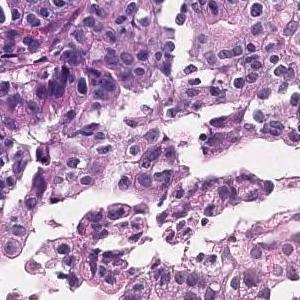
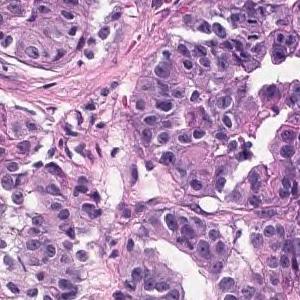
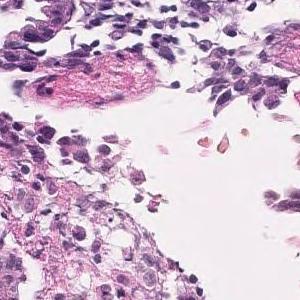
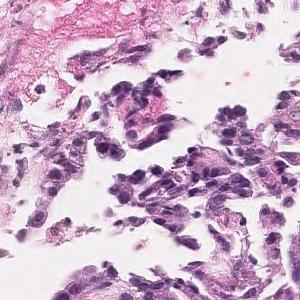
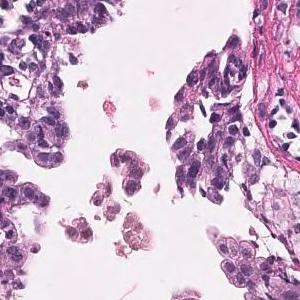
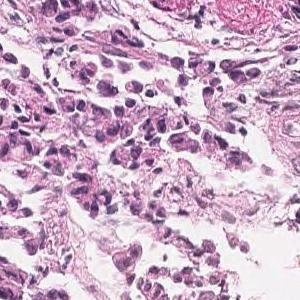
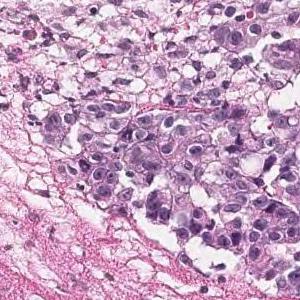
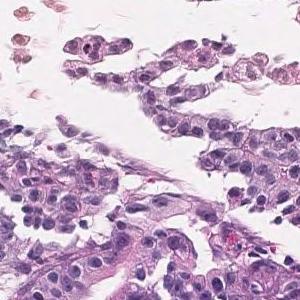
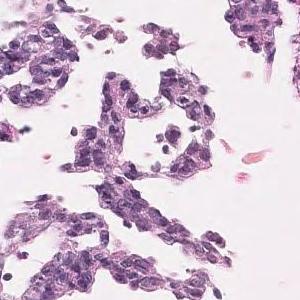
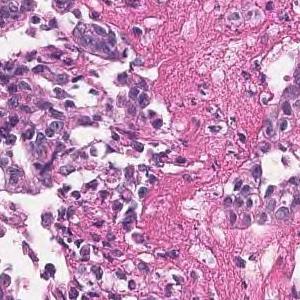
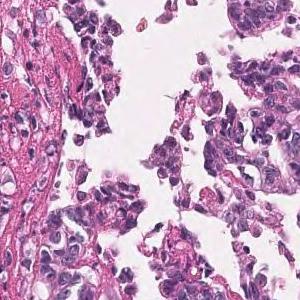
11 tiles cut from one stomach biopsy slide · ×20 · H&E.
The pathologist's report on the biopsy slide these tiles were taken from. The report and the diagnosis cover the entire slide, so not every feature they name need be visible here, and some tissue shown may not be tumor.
In the superficial epithelium, tumor tissue that invades by forming medium-sized to small, irregular ducts is observed. moderately differentiated tubular adenocarcinoma.
